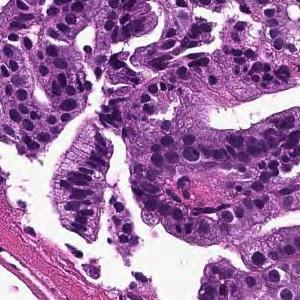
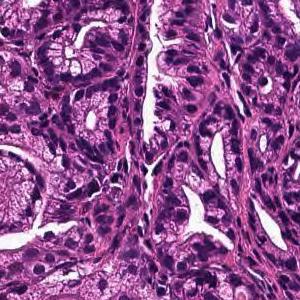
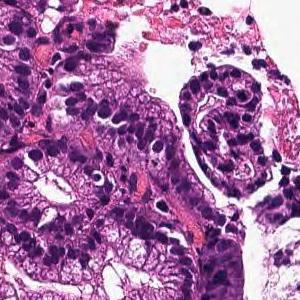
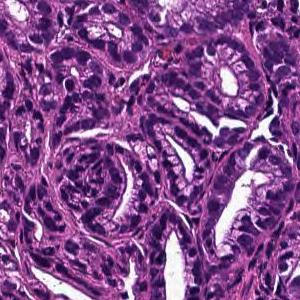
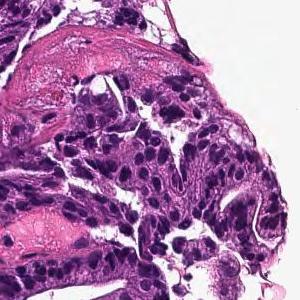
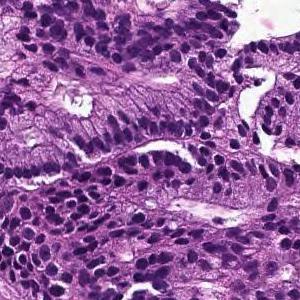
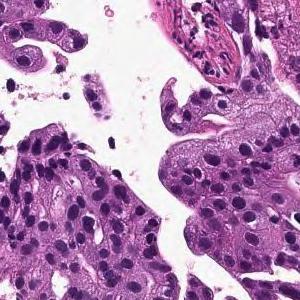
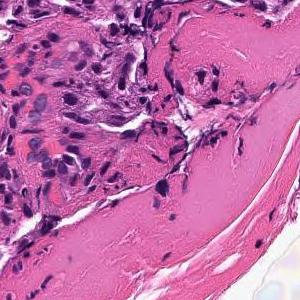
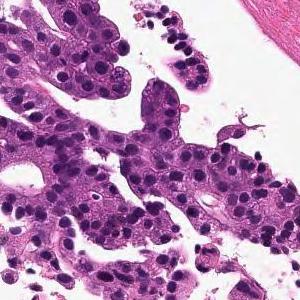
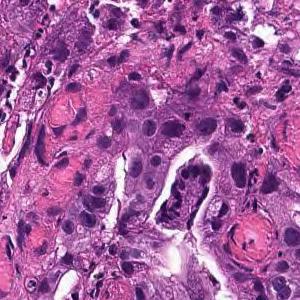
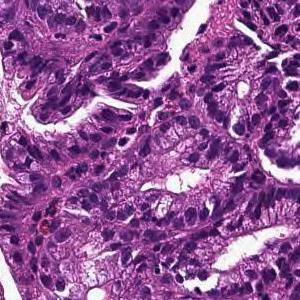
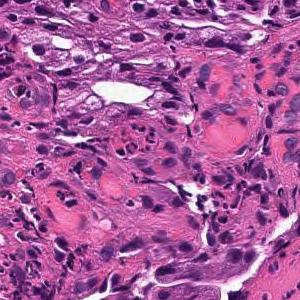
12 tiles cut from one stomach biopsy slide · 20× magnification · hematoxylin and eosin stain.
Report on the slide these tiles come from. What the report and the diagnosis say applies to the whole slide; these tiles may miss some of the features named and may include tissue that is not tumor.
From the superficial epithelium to the muscularis mucosae, tumor tissue consisting of medium-sized and irregular glandular ducts infiltrating is observed. Well differentiated tubular adenocarcinoma
